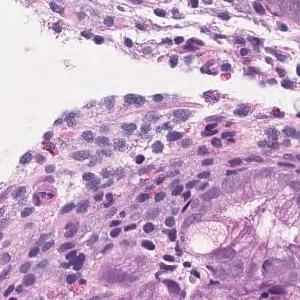
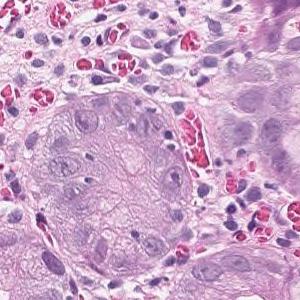
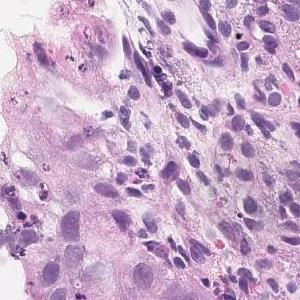
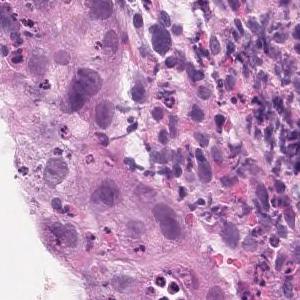
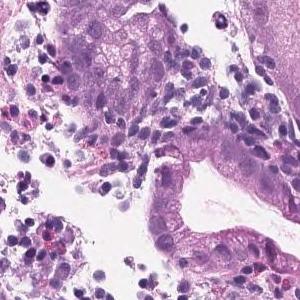
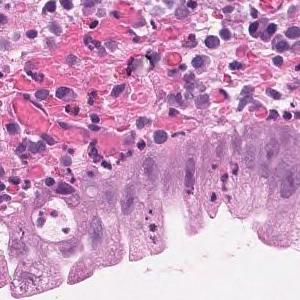
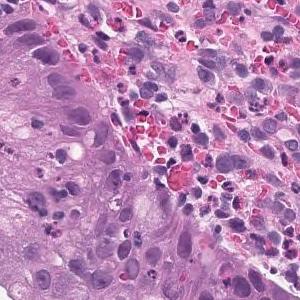
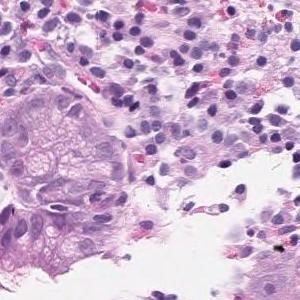
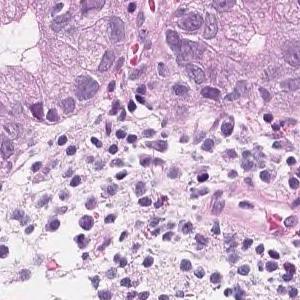
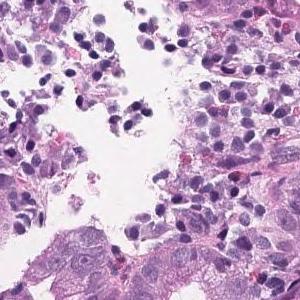
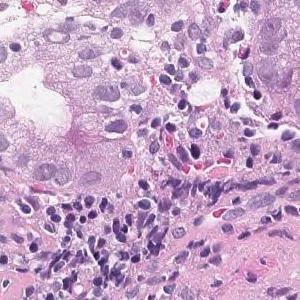
11 tiles from the same stomach biopsy slide.
The pathologist's report on the biopsy slide these tiles were taken from. The report describes the whole slide, diagnosis included: not every finding it names need appear in these tiles, which may also show non-tumor tissue.
Group 5, Adenocarcinoma. Moderately differentiated tubular adenocarcinoma
